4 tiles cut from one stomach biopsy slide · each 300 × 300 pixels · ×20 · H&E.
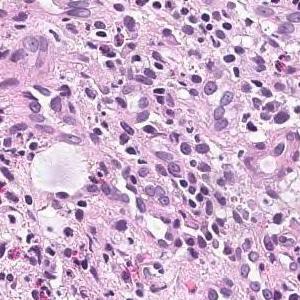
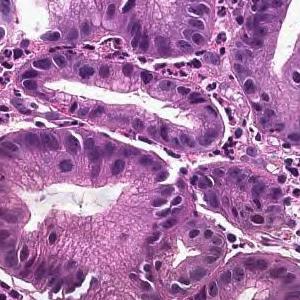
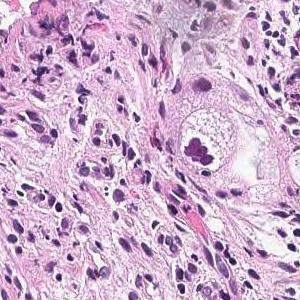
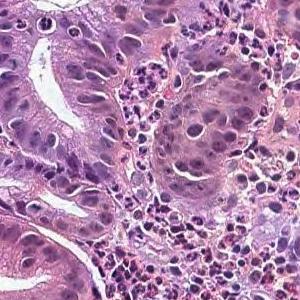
Pathology report for the biopsy slide these tiles were cut from. What the report and the diagnosis say applies to the whole slide; these tiles may miss some of the features named and may include tissue that is not tumor.
On the superficial epithelium, tumor tissue that infiltrates by forming medium-sized papillary or small irregular ducts is observed. Papillary adenocarcinoma
